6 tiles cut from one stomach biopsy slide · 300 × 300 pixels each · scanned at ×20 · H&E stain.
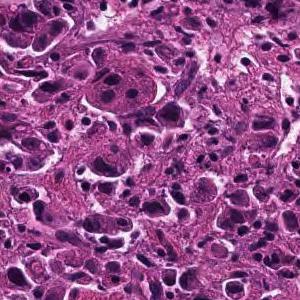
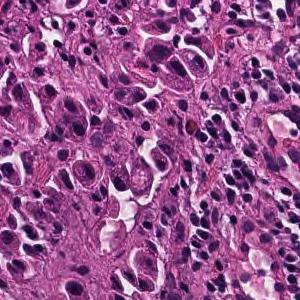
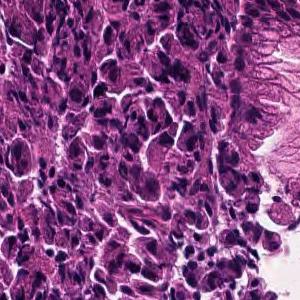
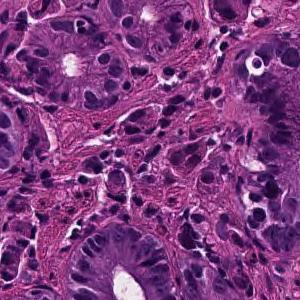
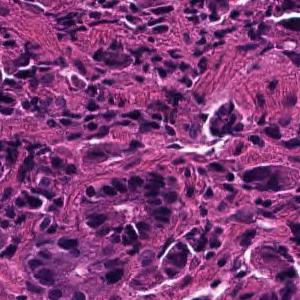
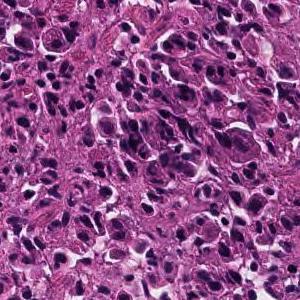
Pathology report for the slide these tiles were cut from. What the report and the diagnosis say applies to the whole slide; these tiles may miss some of the features named and may include tissue that is not tumor.
Tumor tissue consisting of cord-like or small, irregular glandular ducts fused and infiltrated is observed in the superficial epithelium. Poorly differentiated adenocarcinoma, non-solid type
"Non-solid type" is a category of the Japanese Classification of Gastric Carcinoma.
